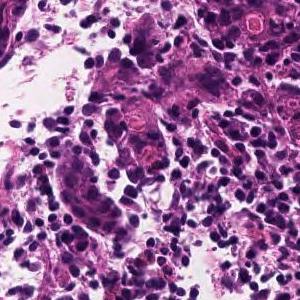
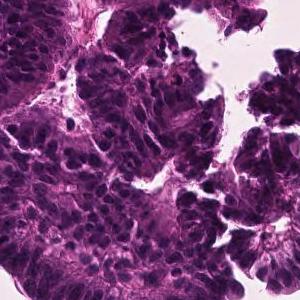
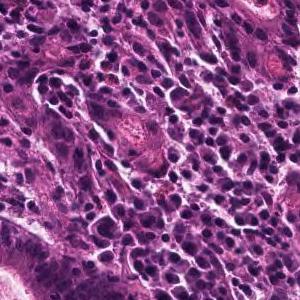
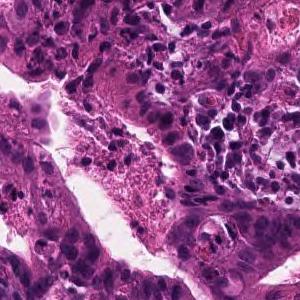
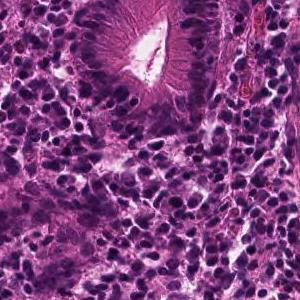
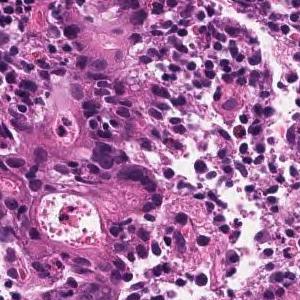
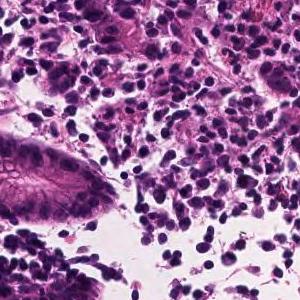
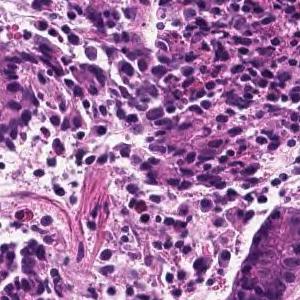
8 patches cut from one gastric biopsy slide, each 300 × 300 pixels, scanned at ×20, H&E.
Pathology report for the biopsy slide these tiles were cut from. What the report and the diagnosis say applies to the whole slide; these tiles may miss some of the features named and may include tissue that is not tumor.
Tumor tissue consisting of medium-sized, cord-like or irregular glandular infiltration is observed in the superficial epithelium. Poorly differentiated adenocarcinoma, non-solid type or moderately differentiated tubular adenocarcinoma
The dataset labels this slide poorly differentiated adenocarcinoma, non-solid type.
The term "non-solid type" comes from the Japanese Classification of Gastric Carcinoma.
